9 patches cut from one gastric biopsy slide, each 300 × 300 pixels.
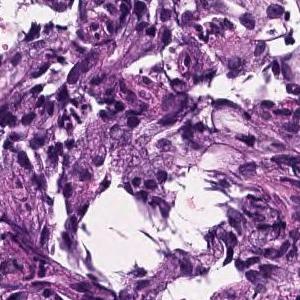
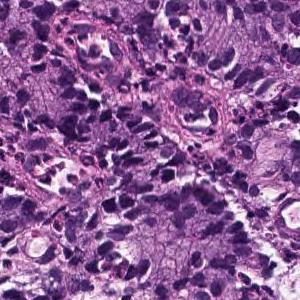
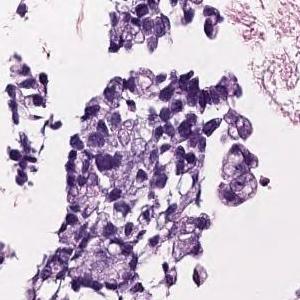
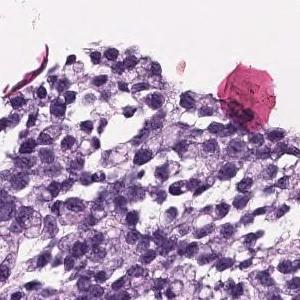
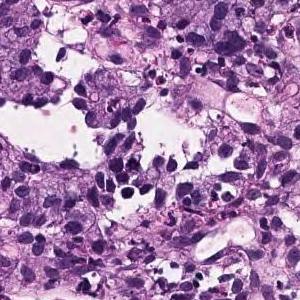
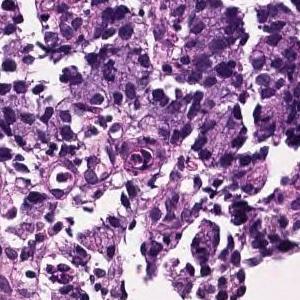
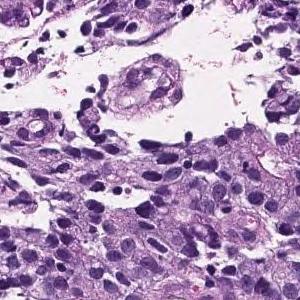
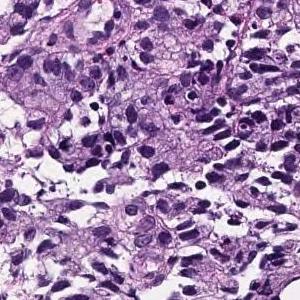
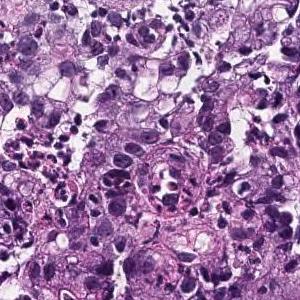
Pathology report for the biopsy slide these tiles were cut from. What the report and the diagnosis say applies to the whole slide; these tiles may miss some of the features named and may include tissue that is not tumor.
Tumor tissue infiltrated by irregular fusion of small cord-like structures is found in the superficial epithelium. Poorly differentiated adenocarcinoma, non-solid type
The term "non-solid type" comes from the Japanese Classification of Gastric Carcinoma.
